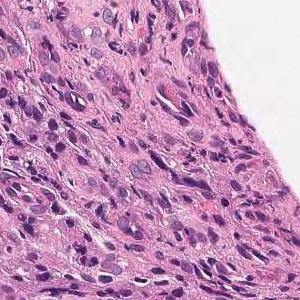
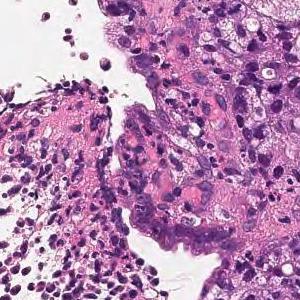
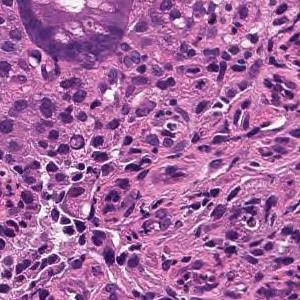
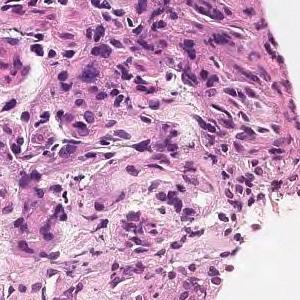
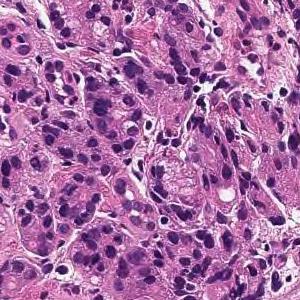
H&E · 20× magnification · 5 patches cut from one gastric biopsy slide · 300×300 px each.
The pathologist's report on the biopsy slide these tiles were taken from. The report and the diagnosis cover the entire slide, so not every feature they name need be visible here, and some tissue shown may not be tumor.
In the superficial epithelium, medium to small irregular gland ducts are formed, and in some cases, the ducts are fused to show solid alveolar lesions and infiltrating tumor tissue is observed. moderately differentiated tubular adenocarcinoma or poorly differentiated adenocarcinoma, solid-type (poorly differentiated adenocarcinoma, solid type)
Dataset label: poorly differentiated adenocarcinoma, solid type, a category of the Japanese Classification of Gastric Carcinoma; in the WHO 2019 classification it is tubular adenocarcinoma, poorly differentiated.
